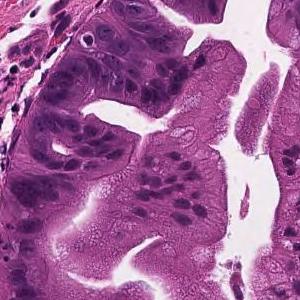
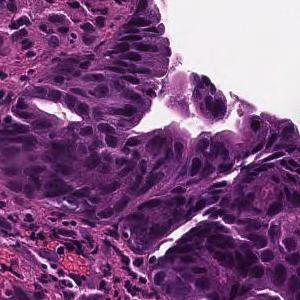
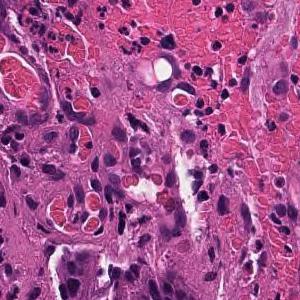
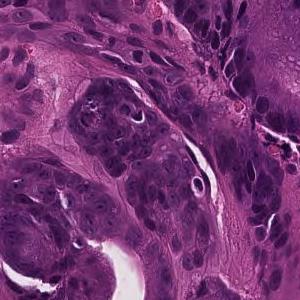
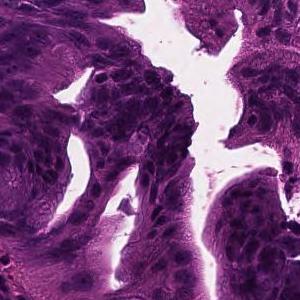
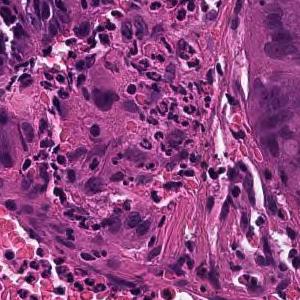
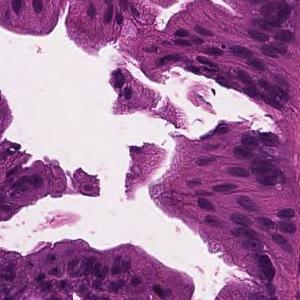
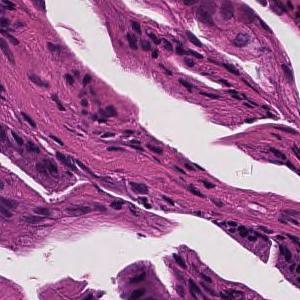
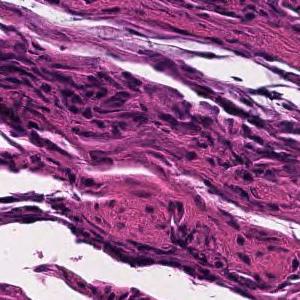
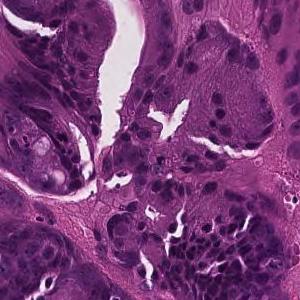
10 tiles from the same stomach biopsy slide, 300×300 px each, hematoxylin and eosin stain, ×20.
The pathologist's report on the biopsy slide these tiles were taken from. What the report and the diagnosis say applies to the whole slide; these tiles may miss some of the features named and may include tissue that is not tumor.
Tumor cells are large, highly columnar, large club-shaped nuclei, and are associated with chromatin aggregation. Papillary adenocarcinoma.
